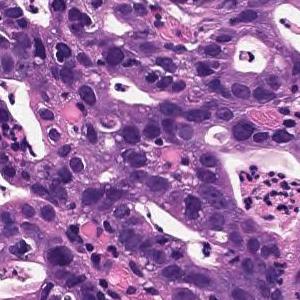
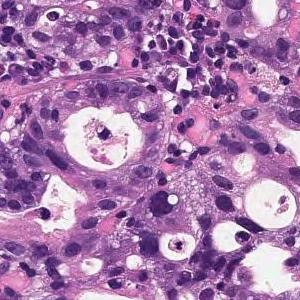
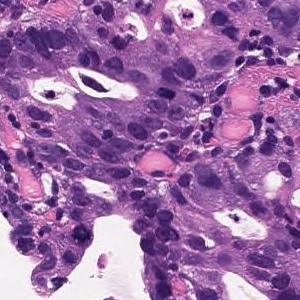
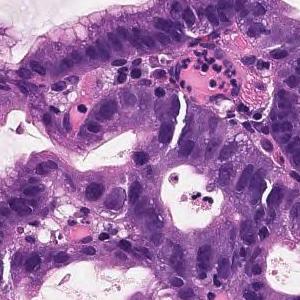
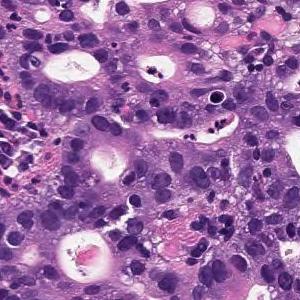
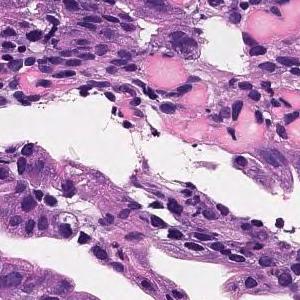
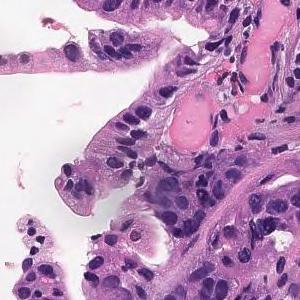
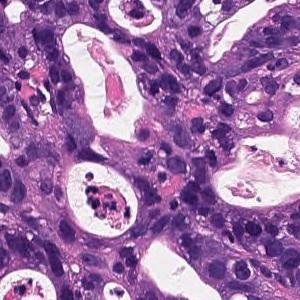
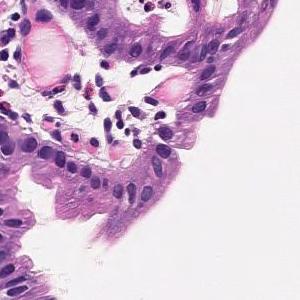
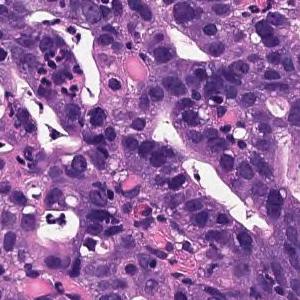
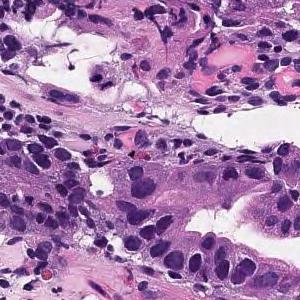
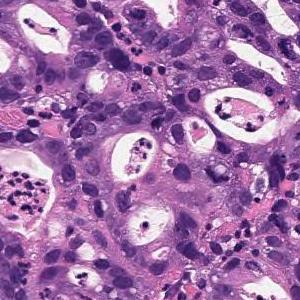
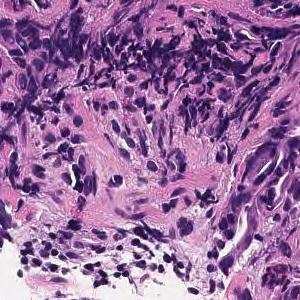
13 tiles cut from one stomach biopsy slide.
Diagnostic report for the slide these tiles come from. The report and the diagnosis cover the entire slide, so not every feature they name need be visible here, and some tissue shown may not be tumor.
On the superficial epithelium, tumor tissue consisting of large, irregular glandular ducts partially fused and infiltrated is observed. Well to moderately differentiated tubular adenocarcinoma (well differentiated tubular adenocarcinoma, moderately differentiated tubular adenocarcinoma)
Subtype: Well to moderately differentiated tubular adenocarcinoma.
